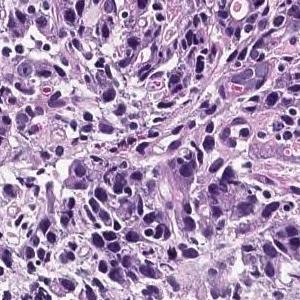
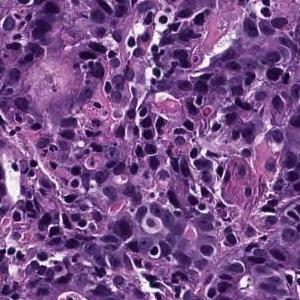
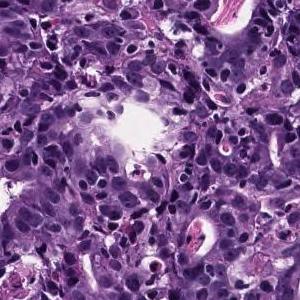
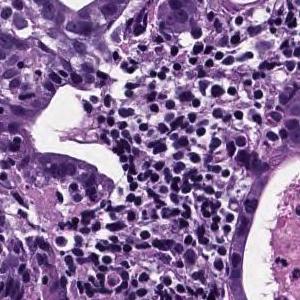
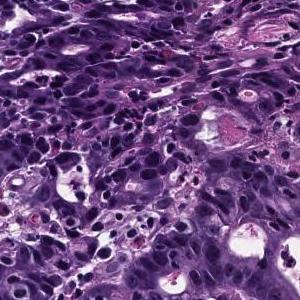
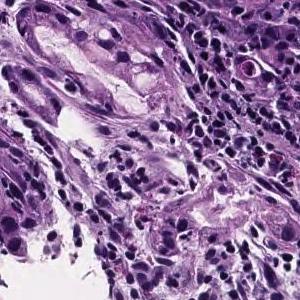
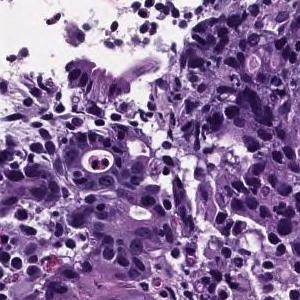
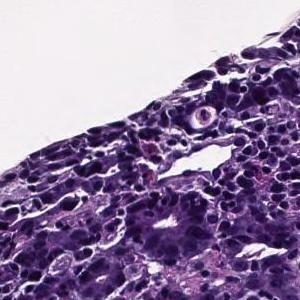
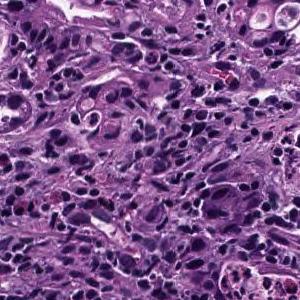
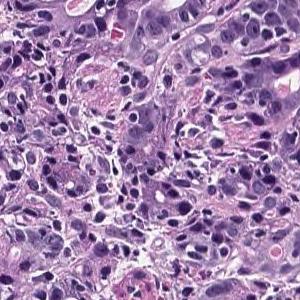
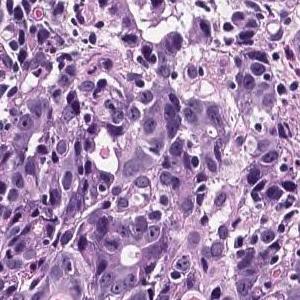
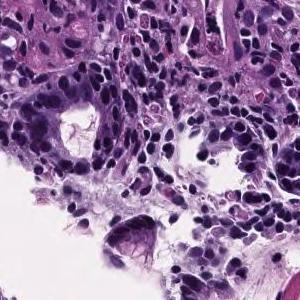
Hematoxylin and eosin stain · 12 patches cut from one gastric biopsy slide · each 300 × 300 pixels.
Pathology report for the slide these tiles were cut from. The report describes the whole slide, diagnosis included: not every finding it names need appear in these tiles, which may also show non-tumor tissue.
In the superficial epithelium, tumor tissue that invades by forming medium-sized to small, irregular ducts is observed. moderately differentiated tubular adenocarcinoma.
